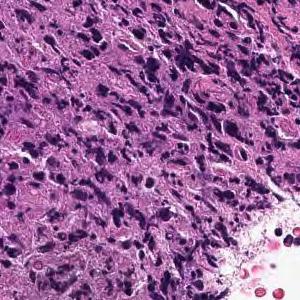
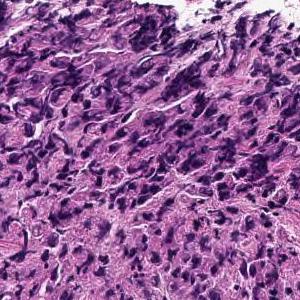
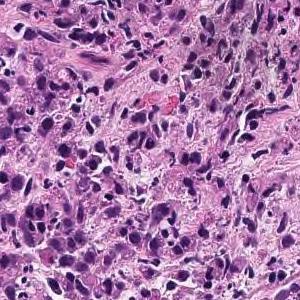
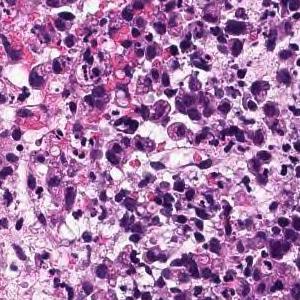
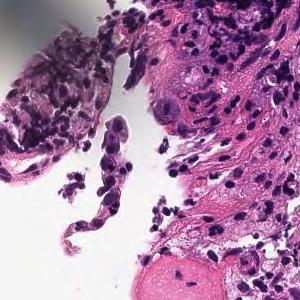
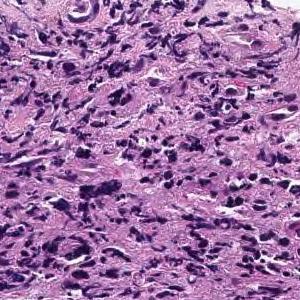
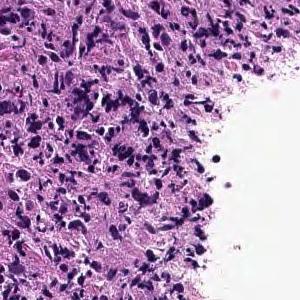
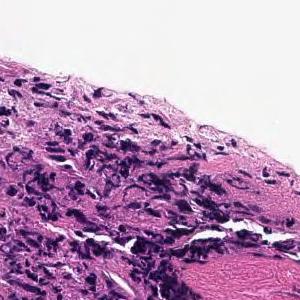
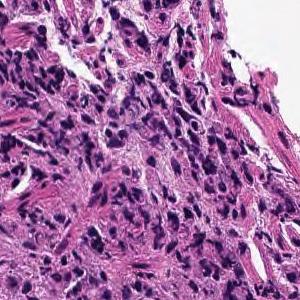
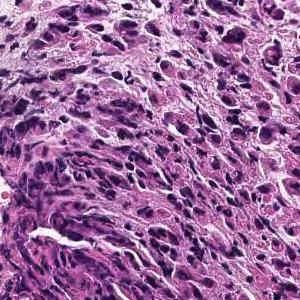
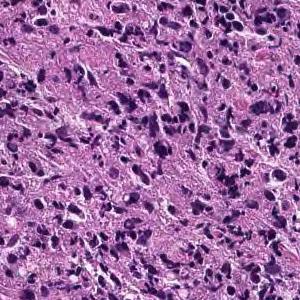
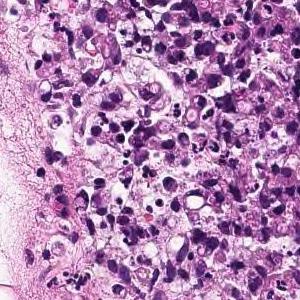
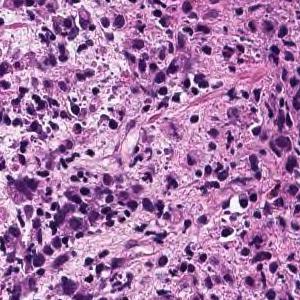
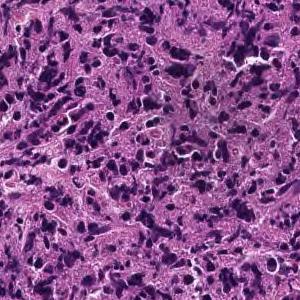
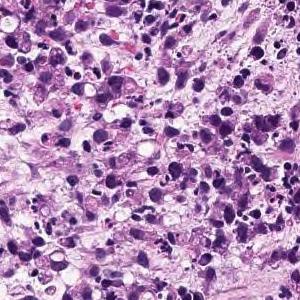
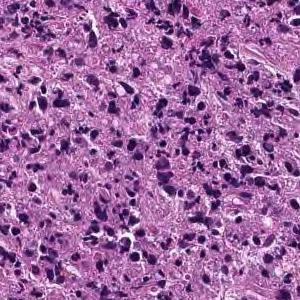
×20; hematoxylin and eosin stain; 16 patches cut from one gastric biopsy slide; each 300 × 300 pixels.
The pathologist's report on the biopsy slide these tiles were taken from. What the report and the diagnosis say applies to the whole slide; these tiles may miss some of the features named and may include tissue that is not tumor.
Large sheet-like or diffusely infiltrating tumor tissue is found in the superficial epithelium. Poorly differentiated adenocarcinoma, solid-type
Histological subtype: Poorly differentiated adenocarcinoma, solid type. This name comes from the Japanese Classification of Gastric Carcinoma; the WHO 2019 classification calls it tubular adenocarcinoma, poorly differentiated.
